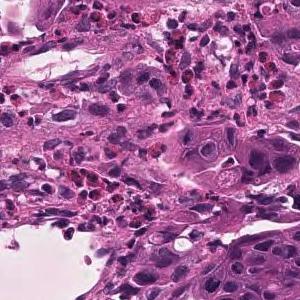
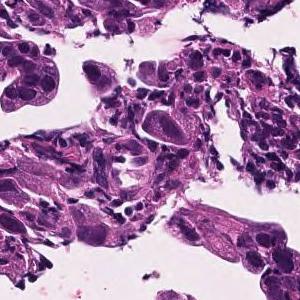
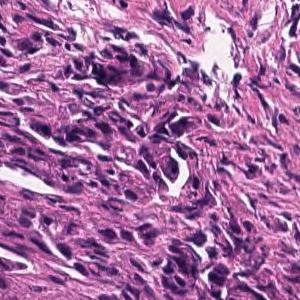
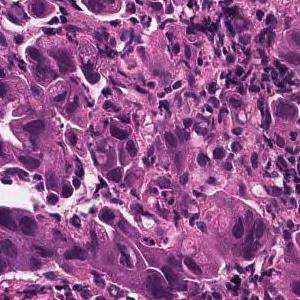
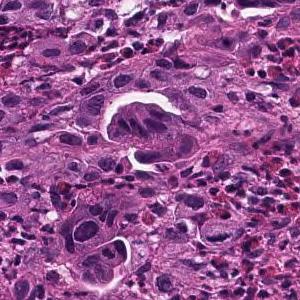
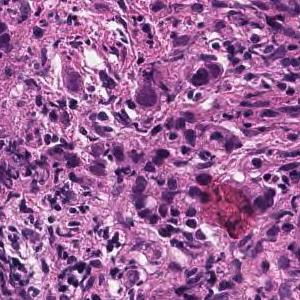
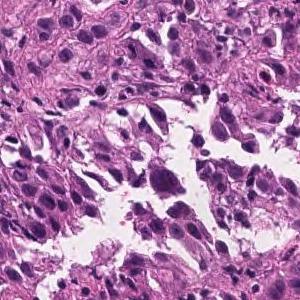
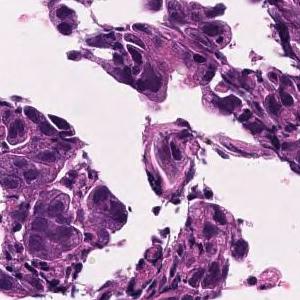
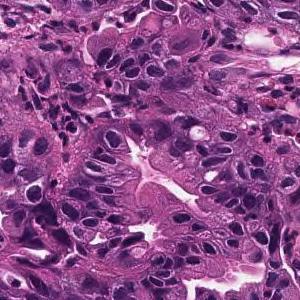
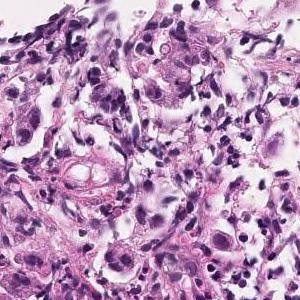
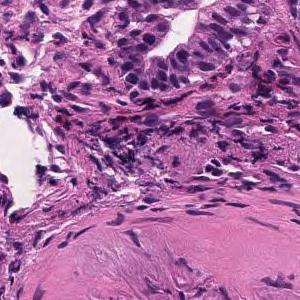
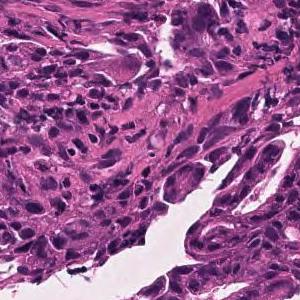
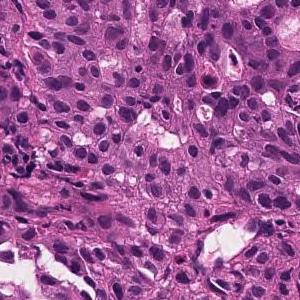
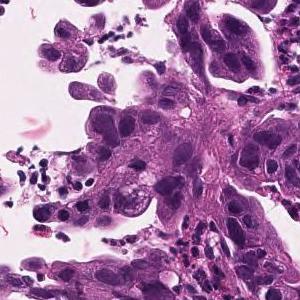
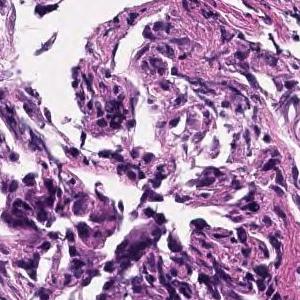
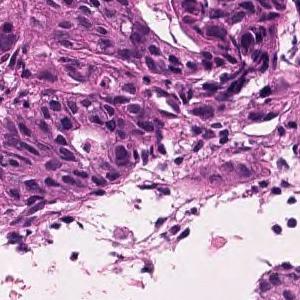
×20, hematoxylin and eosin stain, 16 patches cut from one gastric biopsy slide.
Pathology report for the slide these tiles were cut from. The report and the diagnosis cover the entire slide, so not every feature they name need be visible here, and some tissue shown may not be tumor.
Tumor tissue consisting of medium-sized, cord-like or irregular glandular infiltration is observed in the superficial epithelium. Poorly differentiated adenocarcinoma, non-solid type or moderately differentiated tubular adenocarcinoma
The non-solid type named here is a Japanese Classification of Gastric Carcinoma category.
